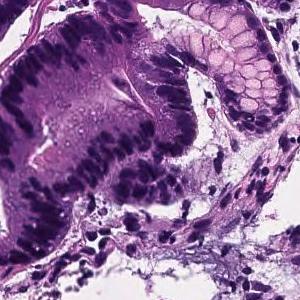
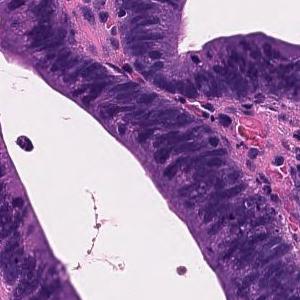
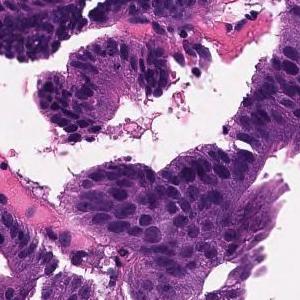
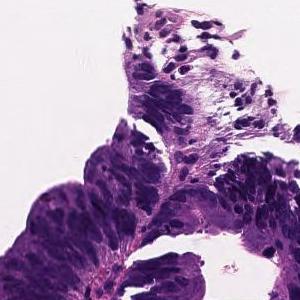
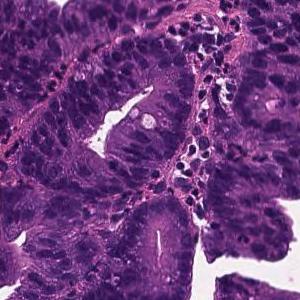
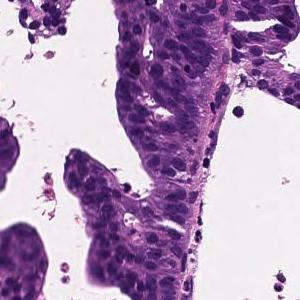
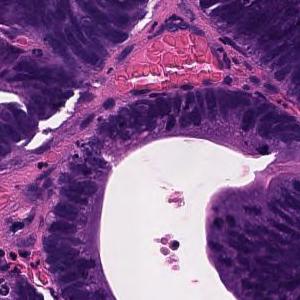
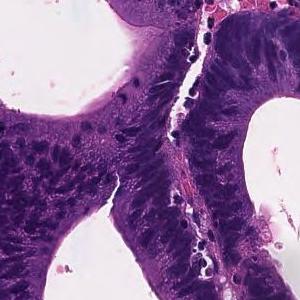
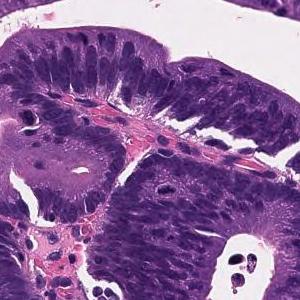
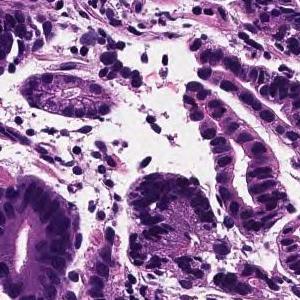
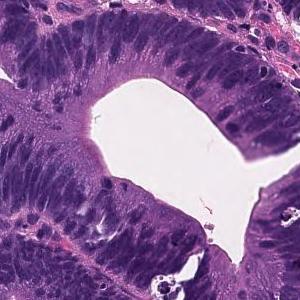
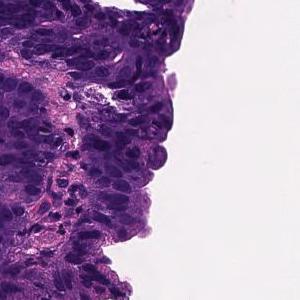
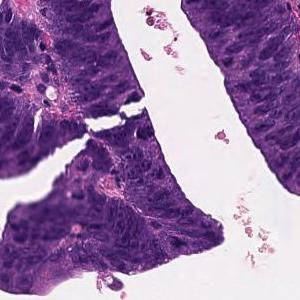
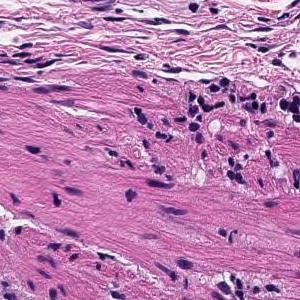
14 patches cut from one gastric biopsy slide; 300 × 300 pixels each; scanned at ×20; hematoxylin and eosin stain.
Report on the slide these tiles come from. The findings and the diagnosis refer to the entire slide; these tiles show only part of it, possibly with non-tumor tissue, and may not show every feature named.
Tumor tissue consisting of large papillary structures is found in the superficial epithelium. Papillary adenocarcinoma.
